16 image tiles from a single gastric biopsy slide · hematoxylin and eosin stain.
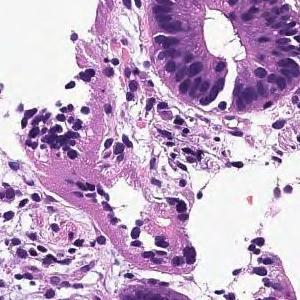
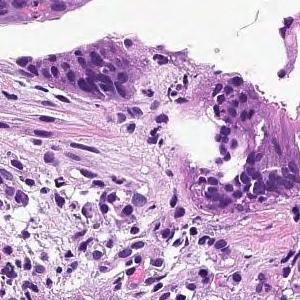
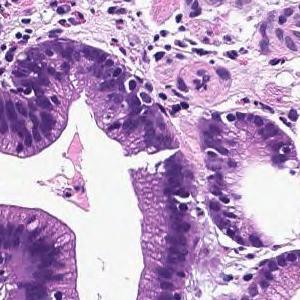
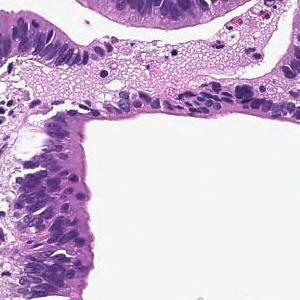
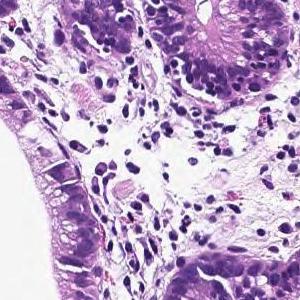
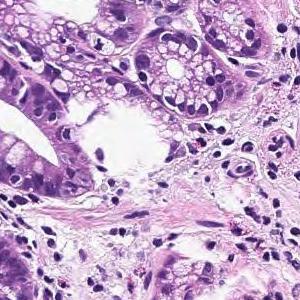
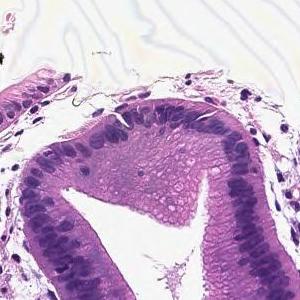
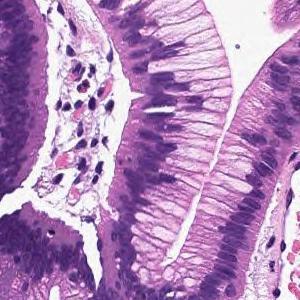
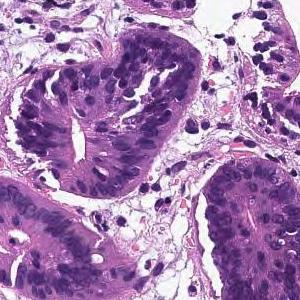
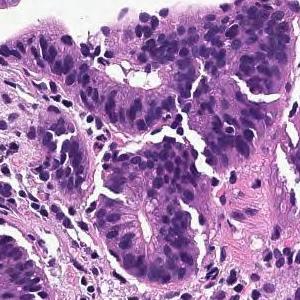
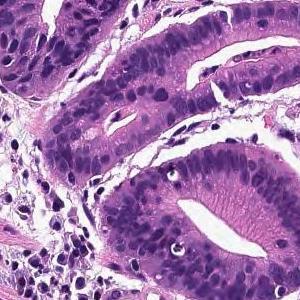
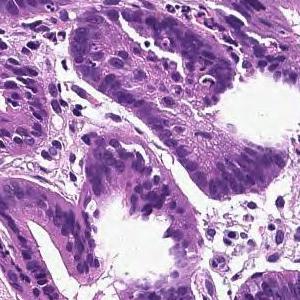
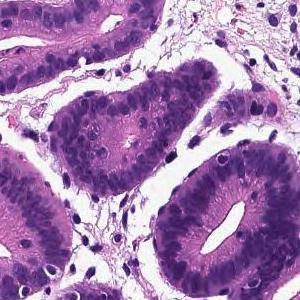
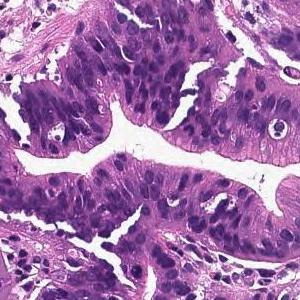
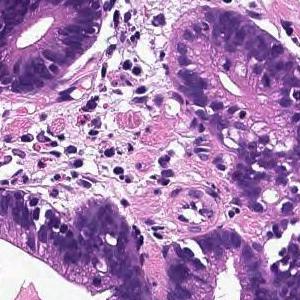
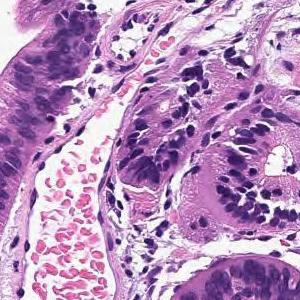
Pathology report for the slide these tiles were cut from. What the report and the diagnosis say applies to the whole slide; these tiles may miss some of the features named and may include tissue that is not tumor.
Infiltrating tumor tissue is observed in the superficial epithelium, showing large papillary structures or large and small ducts. Papillary adenocarcinoma
